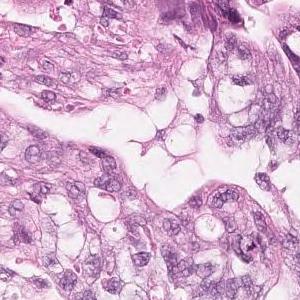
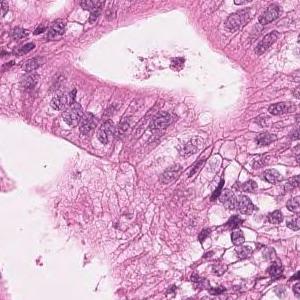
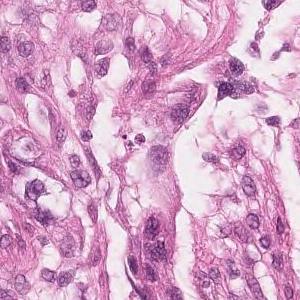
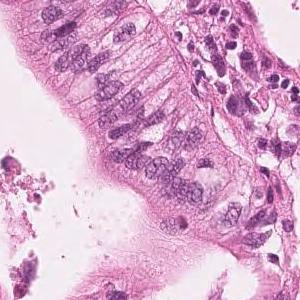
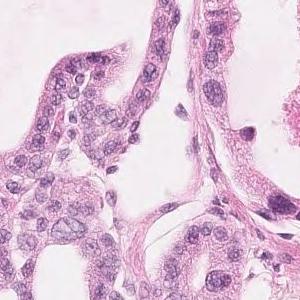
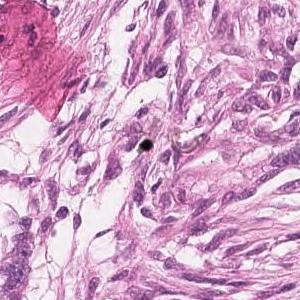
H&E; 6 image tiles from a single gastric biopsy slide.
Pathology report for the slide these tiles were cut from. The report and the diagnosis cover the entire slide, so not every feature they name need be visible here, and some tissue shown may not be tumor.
Highly columnar epithelium with disordered nuclear localization proliferates showing fusion ductal construction. moderately differentiated tubular adenocarcinoma
